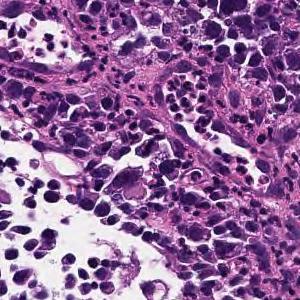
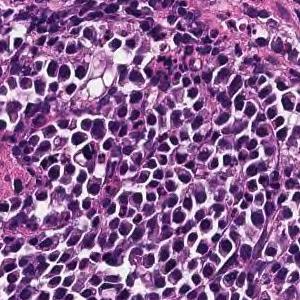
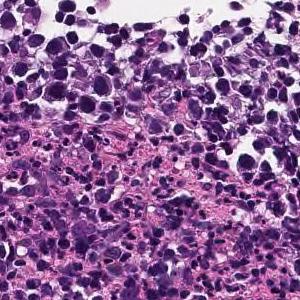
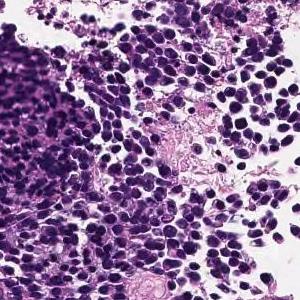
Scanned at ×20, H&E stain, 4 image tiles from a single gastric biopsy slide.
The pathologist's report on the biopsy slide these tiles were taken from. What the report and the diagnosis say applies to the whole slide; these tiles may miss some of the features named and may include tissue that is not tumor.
Large sheet-like or diffusely infiltrating tumor tissue is found in the superficial epithelium. Poorly differentiated adenocarcinoma, solid-type
Classified as poorly differentiated adenocarcinoma, solid type. This name comes from the Japanese Classification of Gastric Carcinoma; the WHO 2019 classification calls it tubular adenocarcinoma, poorly differentiated.
